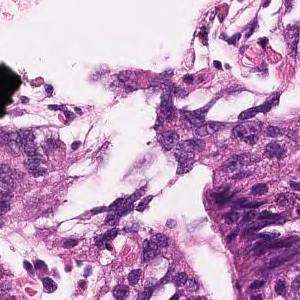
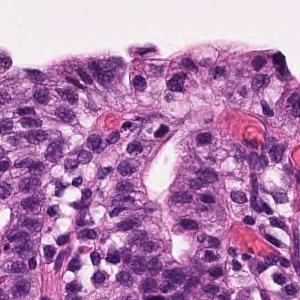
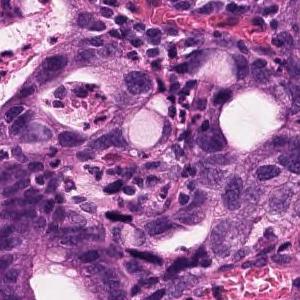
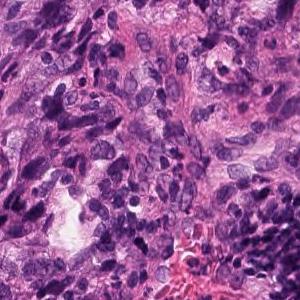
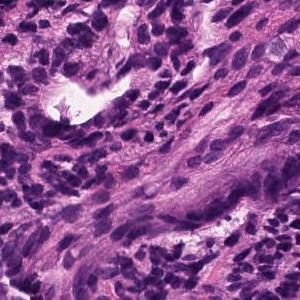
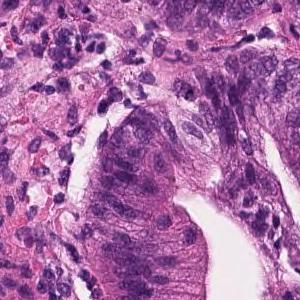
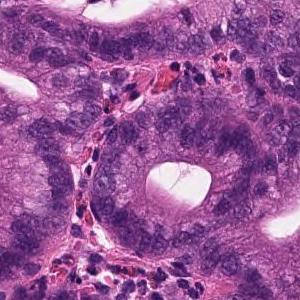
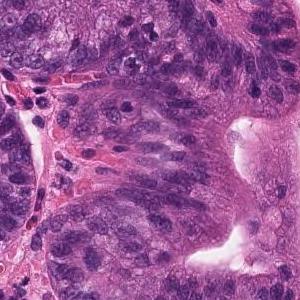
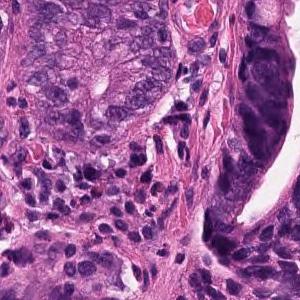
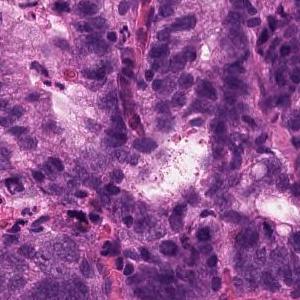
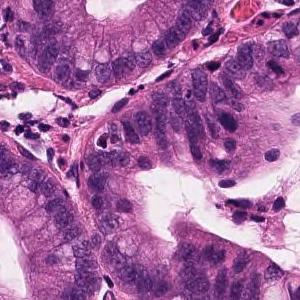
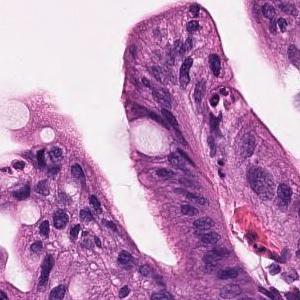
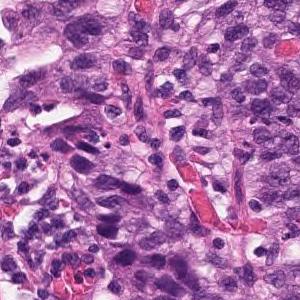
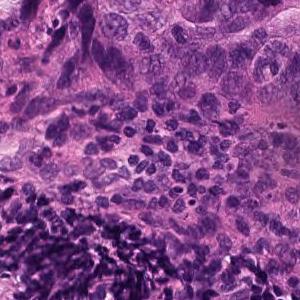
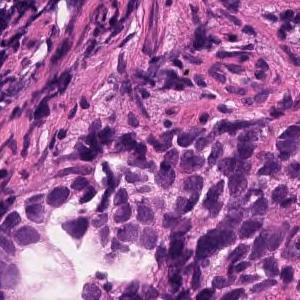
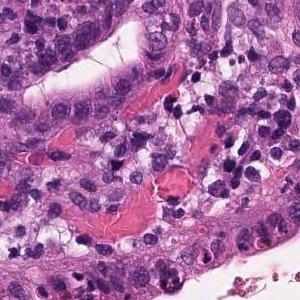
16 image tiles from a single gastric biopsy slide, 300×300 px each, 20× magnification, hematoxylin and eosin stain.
Diagnostic report for the slide these tiles come from. The report and the diagnosis describe the slide as a whole, so these tiles may not show every feature named and may include non-tumor tissue.
In the superficial epithelium, tumor tissue that invades by forming medium-sized to small, irregular ducts is observed. Moderately differentiated adenocarcinoma.
Tumor subtype: moderately differentiated tubular adenocarcinoma.
